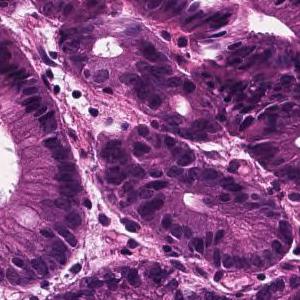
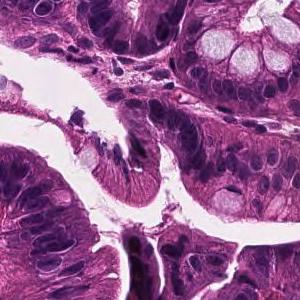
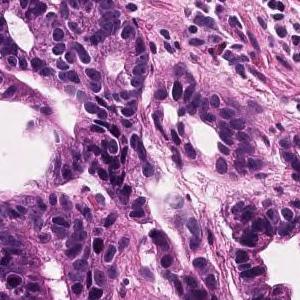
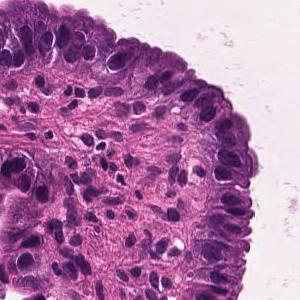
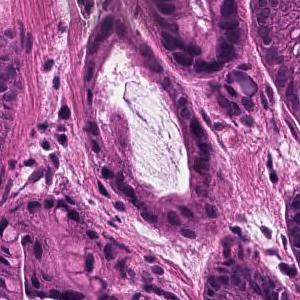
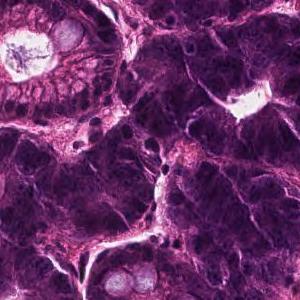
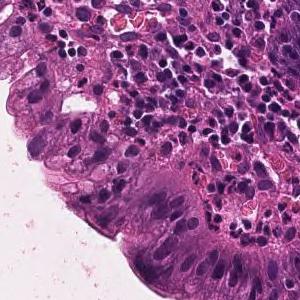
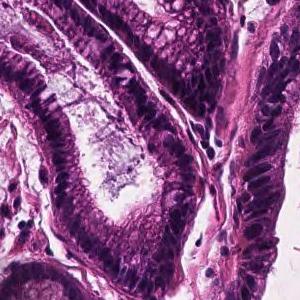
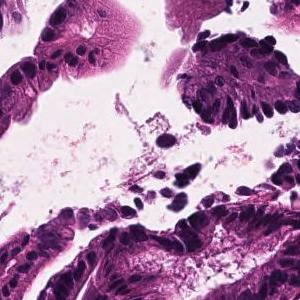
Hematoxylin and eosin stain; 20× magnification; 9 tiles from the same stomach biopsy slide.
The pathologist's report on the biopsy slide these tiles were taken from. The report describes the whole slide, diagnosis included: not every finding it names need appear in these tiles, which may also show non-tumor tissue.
In the superficial epithelium, tumor tissue that invades by forming medium-sized to small, irregular ducts is observed. Well differentiated tubular adenocarcinoma.
